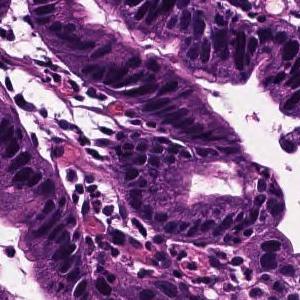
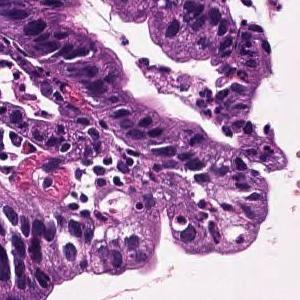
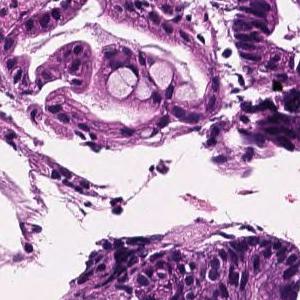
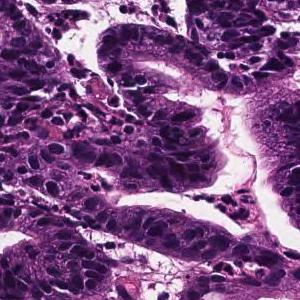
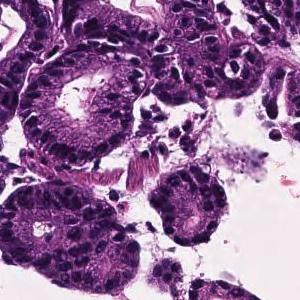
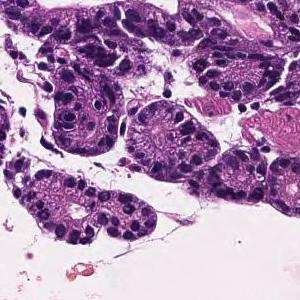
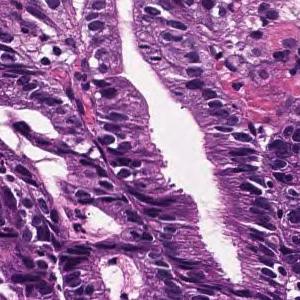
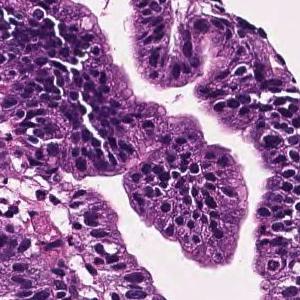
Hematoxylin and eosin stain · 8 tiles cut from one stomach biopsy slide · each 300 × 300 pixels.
Pathology report for the slide these tiles were cut from. The report describes the whole slide, diagnosis included: not every finding it names need appear in these tiles, which may also show non-tumor tissue.
On the superficial epithelium, tumor tissue that infiltrates by forming medium-sized papillary or small irregular ducts is observed. Papillary adenocarcinoma
